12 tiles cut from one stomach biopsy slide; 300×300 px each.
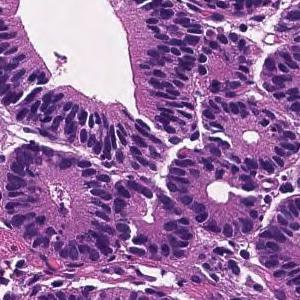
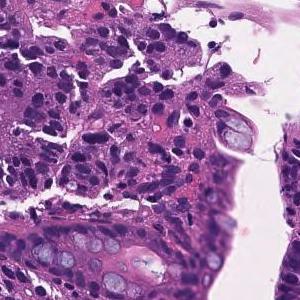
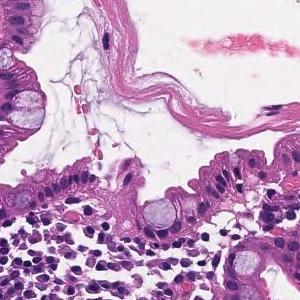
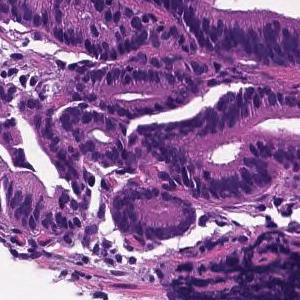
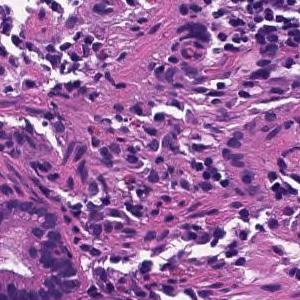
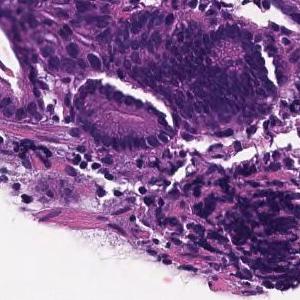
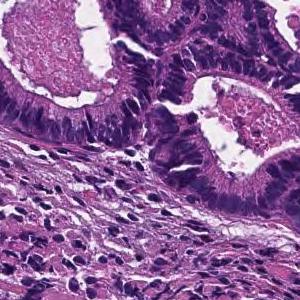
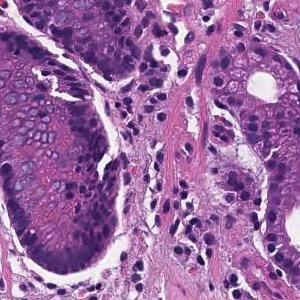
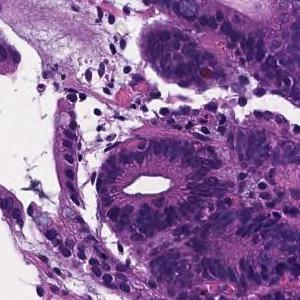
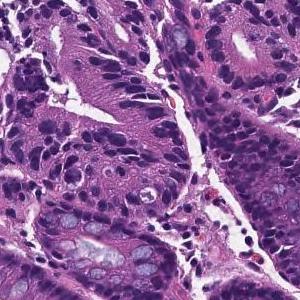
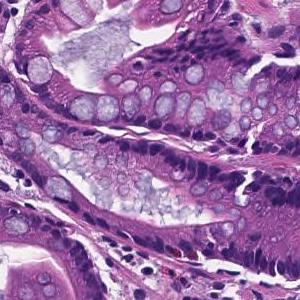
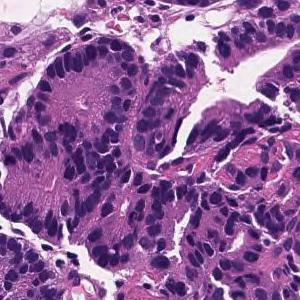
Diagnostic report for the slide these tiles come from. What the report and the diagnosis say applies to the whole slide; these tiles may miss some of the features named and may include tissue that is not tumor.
From the superficial epithelium to the muscularis mucosae, tumor tissue consisting of medium-sized and irregular glandular ducts infiltrating is observed. Well differentiated tubular adenocarcinoma
